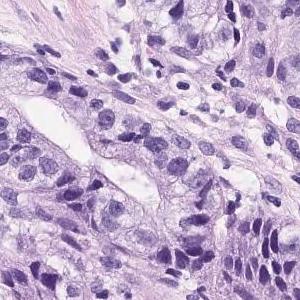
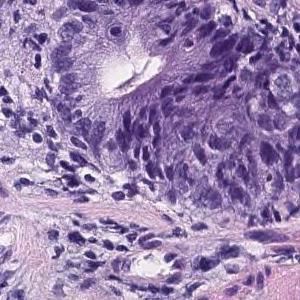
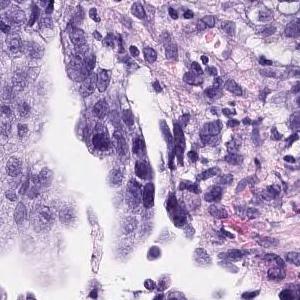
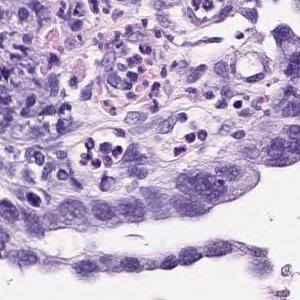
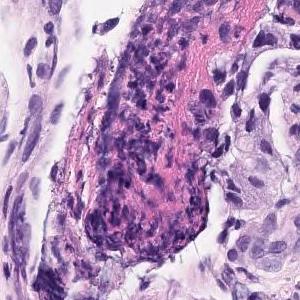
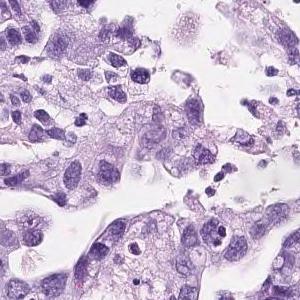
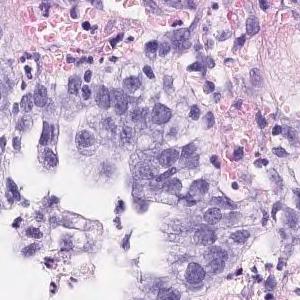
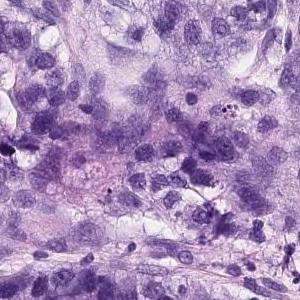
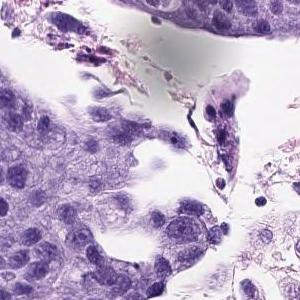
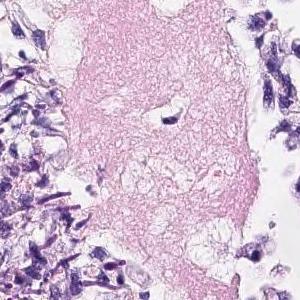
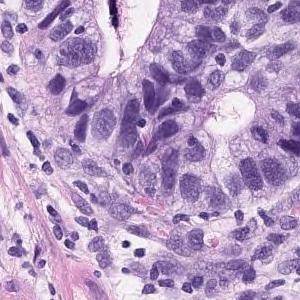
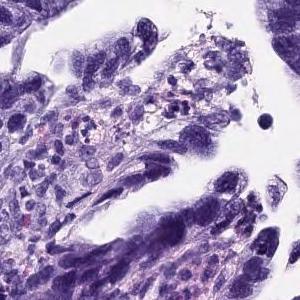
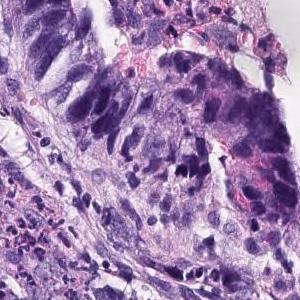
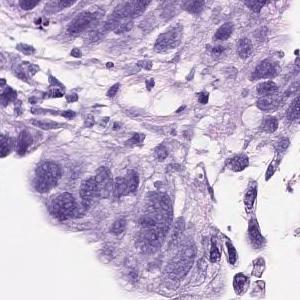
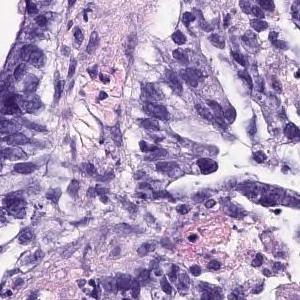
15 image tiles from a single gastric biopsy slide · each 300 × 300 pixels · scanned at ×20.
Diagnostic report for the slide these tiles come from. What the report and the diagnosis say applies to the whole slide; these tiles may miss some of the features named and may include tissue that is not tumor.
On the superficial epithelium, tumor tissue consisting of medium to small irregular tubules partially fused and proliferated is observed. moderately differentiated tubular adenocarcinoma
